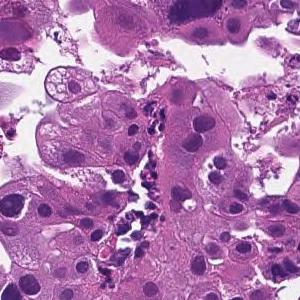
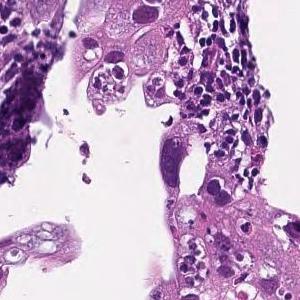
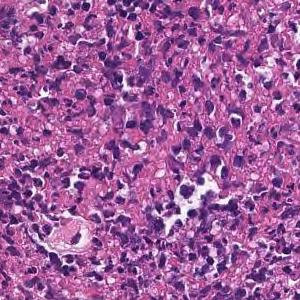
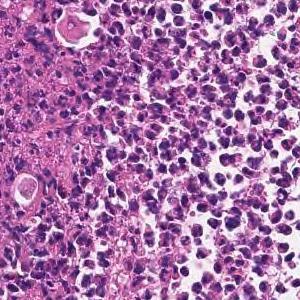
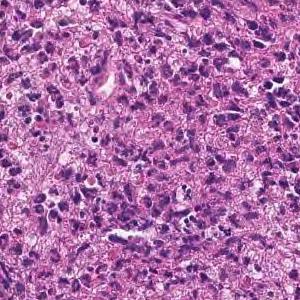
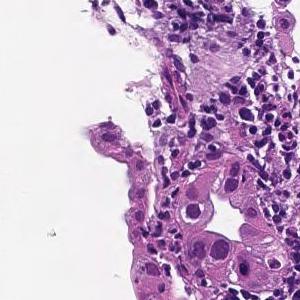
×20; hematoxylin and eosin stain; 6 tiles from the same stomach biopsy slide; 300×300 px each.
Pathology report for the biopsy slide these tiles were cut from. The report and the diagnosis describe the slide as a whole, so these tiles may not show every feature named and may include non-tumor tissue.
In the superficial epithelium, tumor tissue infiltrated by partial fusion of medium-sized to small, irregular glandular ducts is observed. moderately differentiated tubular adenocarcinoma
